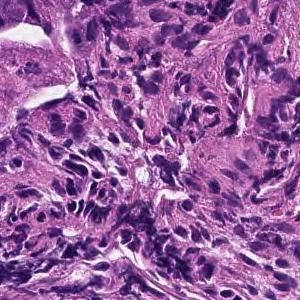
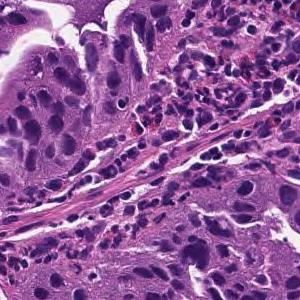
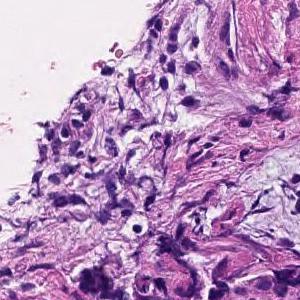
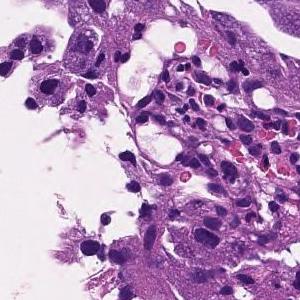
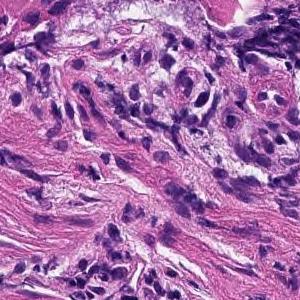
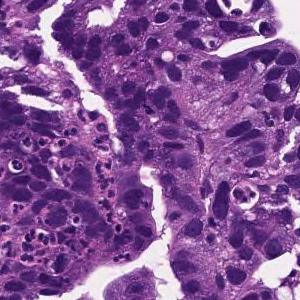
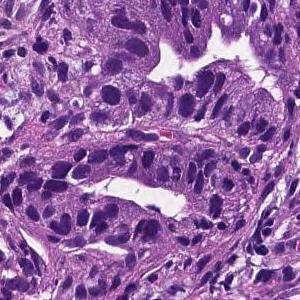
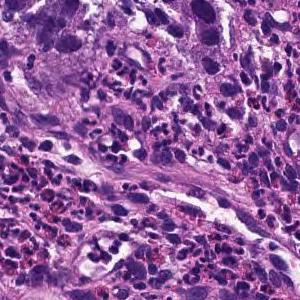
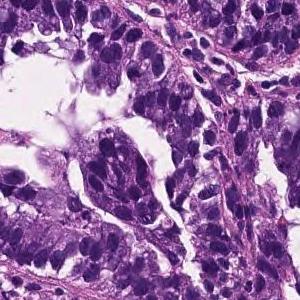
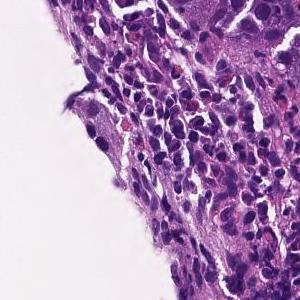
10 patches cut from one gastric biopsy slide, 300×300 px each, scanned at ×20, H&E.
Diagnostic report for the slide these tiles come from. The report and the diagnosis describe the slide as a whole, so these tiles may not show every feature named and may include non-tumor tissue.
Tumor tissue consisting of large papillary structures is found in the superficial epithelium. Papillary adenocarcinoma.
